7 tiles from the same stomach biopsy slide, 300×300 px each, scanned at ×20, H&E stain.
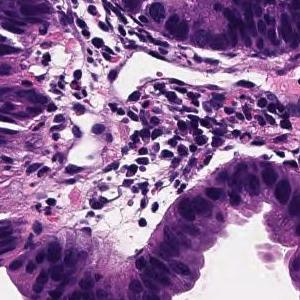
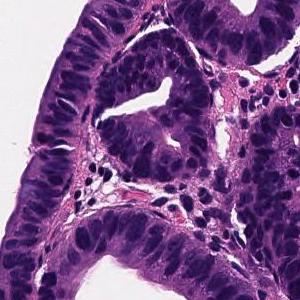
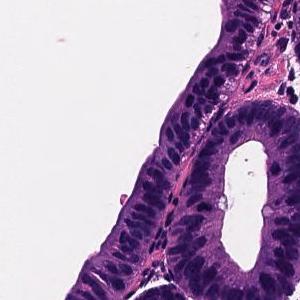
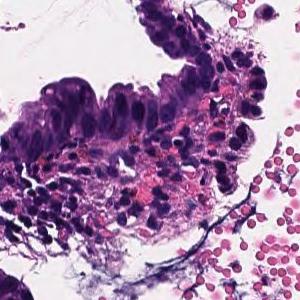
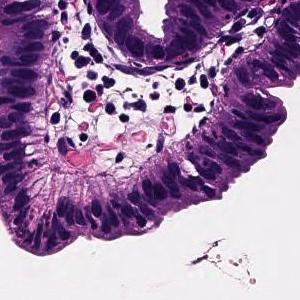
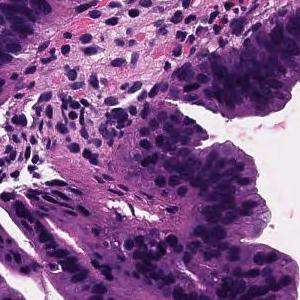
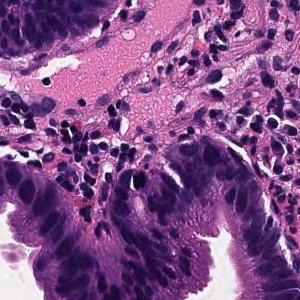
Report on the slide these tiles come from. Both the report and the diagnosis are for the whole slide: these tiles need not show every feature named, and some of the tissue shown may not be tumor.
Tumor cells are large, highly columnar, large club-shaped nuclei, and are associated with chromatin aggregation. Papillary adenocarcinoma.
